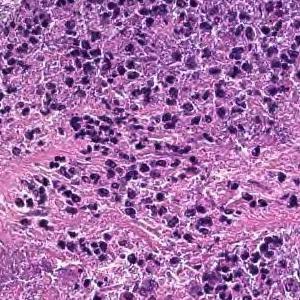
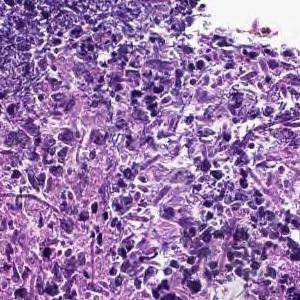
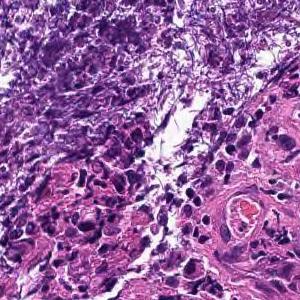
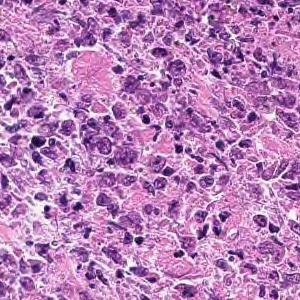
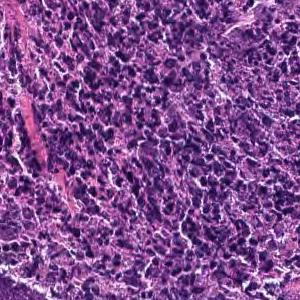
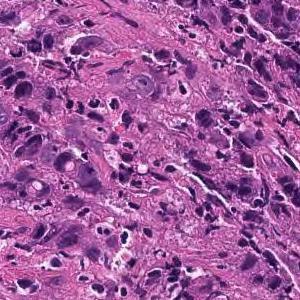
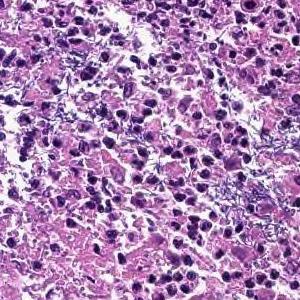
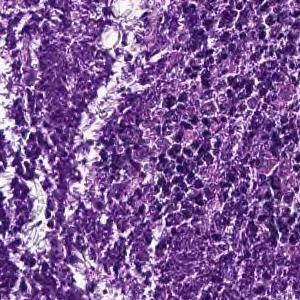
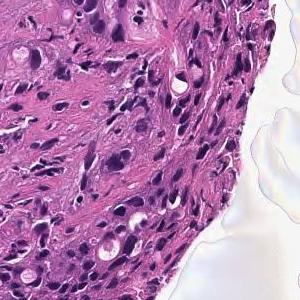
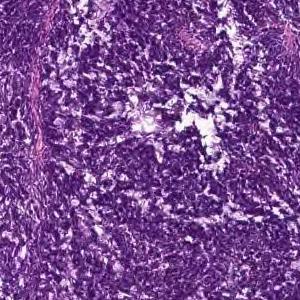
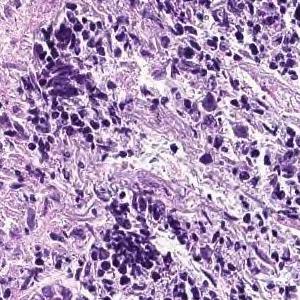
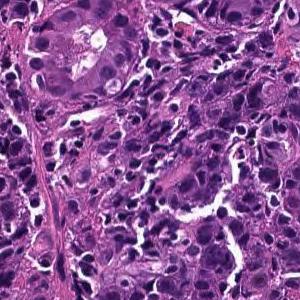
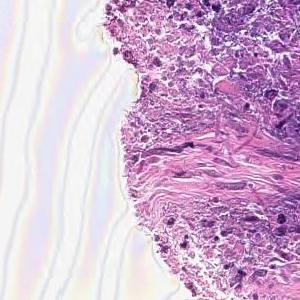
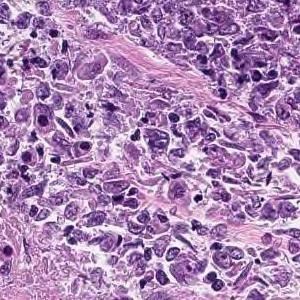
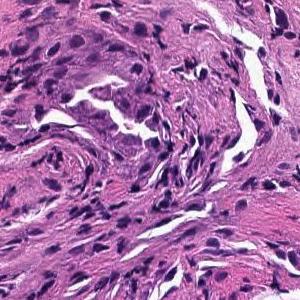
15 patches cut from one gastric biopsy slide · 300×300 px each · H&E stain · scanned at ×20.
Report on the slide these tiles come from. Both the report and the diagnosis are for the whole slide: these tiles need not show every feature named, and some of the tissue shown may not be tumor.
Cancers with polygonal nuclei do not show glandular formation and are densely, in part, cord-like and proliferate. Poorly differentiated adenocarcinoma
Histologic type: Poorly differentiated adenocarcinoma, non-solid type.
"Non-solid type" is a category of the Japanese Classification of Gastric Carcinoma.
